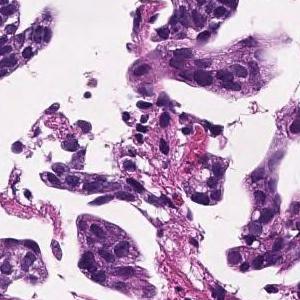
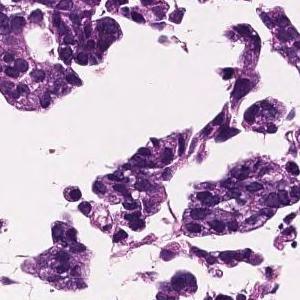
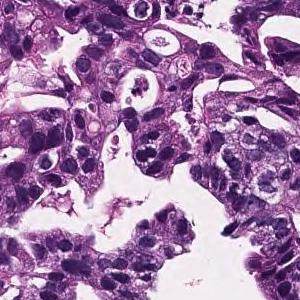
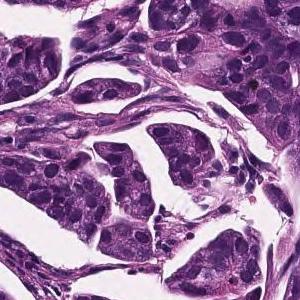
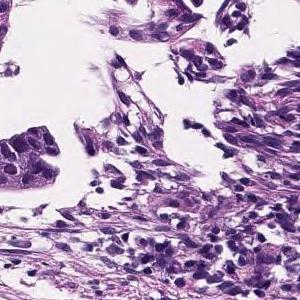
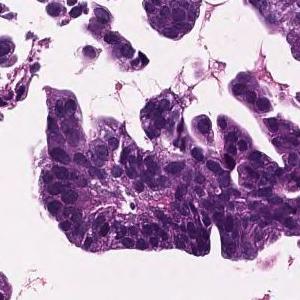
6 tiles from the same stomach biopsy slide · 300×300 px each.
Pathology report for the slide these tiles were cut from. The report and the diagnosis cover the entire slide, so not every feature they name need be visible here, and some tissue shown may not be tumor.
In the lamina propria, tumor tissue that invades by forming medium-sized to small, irregular glandular ducts is observed. moderately differentiated tubular adenocarcinoma
